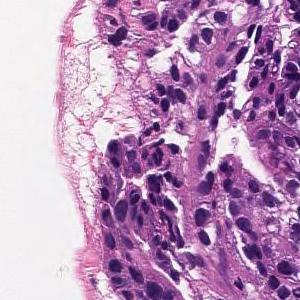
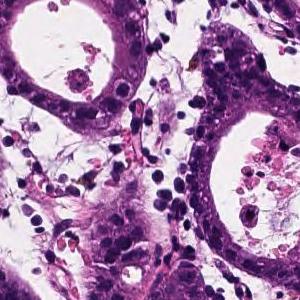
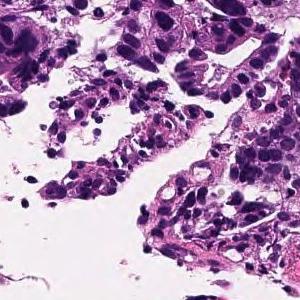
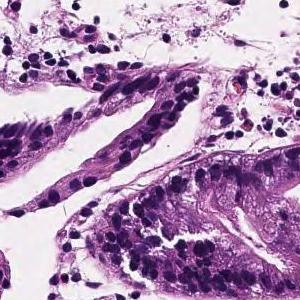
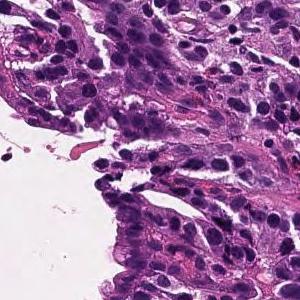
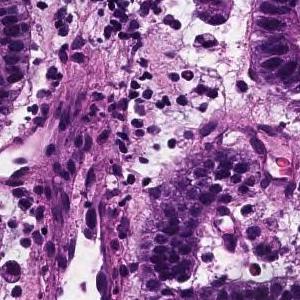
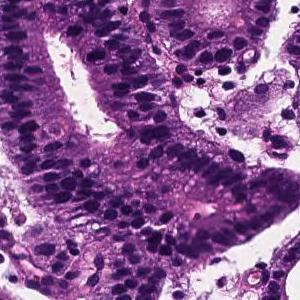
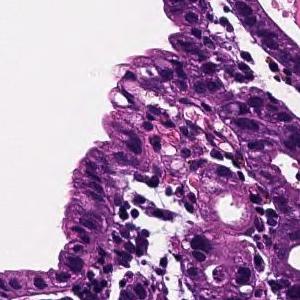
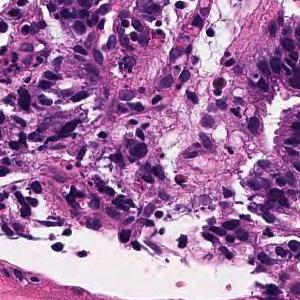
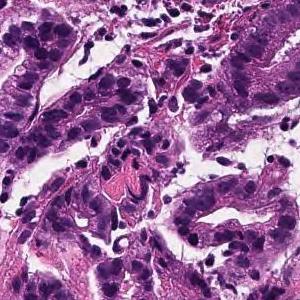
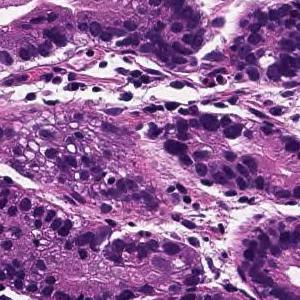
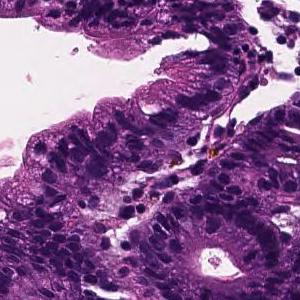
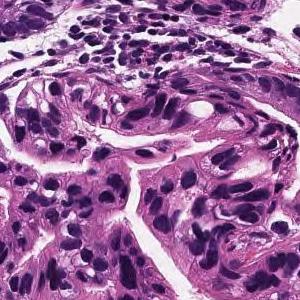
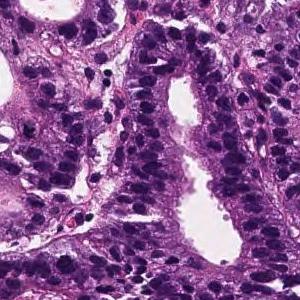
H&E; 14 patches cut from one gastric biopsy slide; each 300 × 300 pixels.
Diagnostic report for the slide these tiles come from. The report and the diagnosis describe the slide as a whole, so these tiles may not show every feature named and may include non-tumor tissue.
From the superficial epithelium to the muscularis mucosae, tumor tissue consisting of medium-sized and irregular glandular ducts infiltrating is observed. Well differentiated tubular adenocarcinoma
